14 image tiles from a single gastric biopsy slide; 20× magnification.
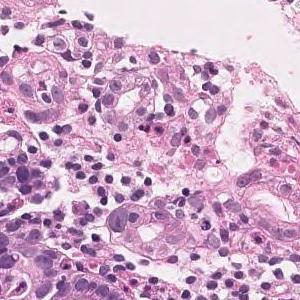
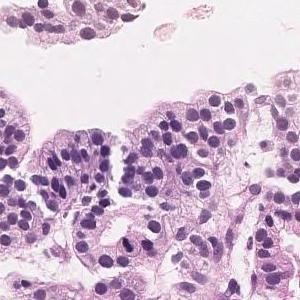
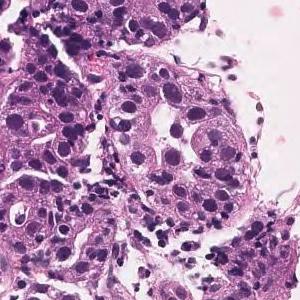
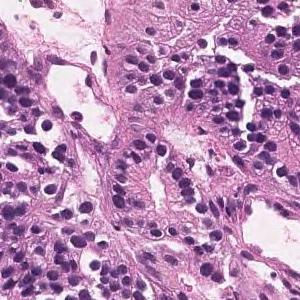
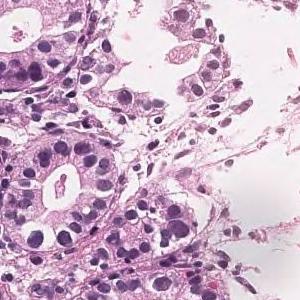
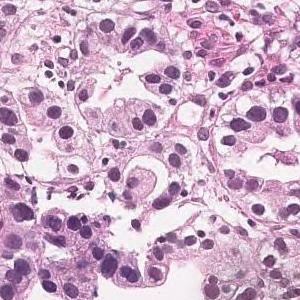
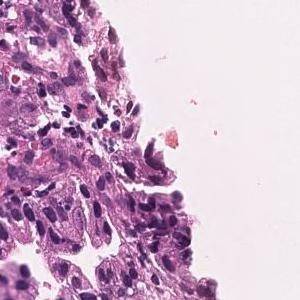
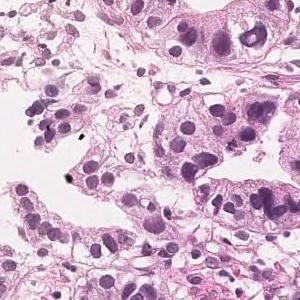
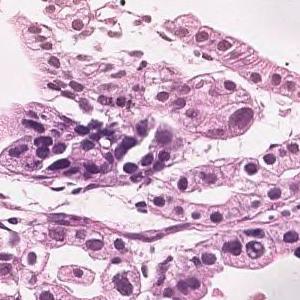
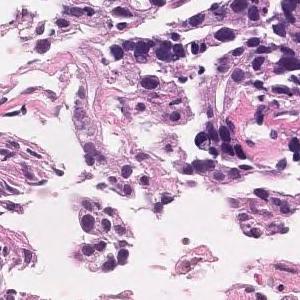
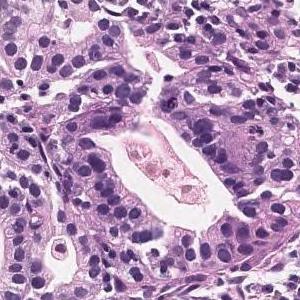
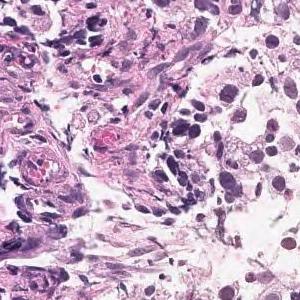
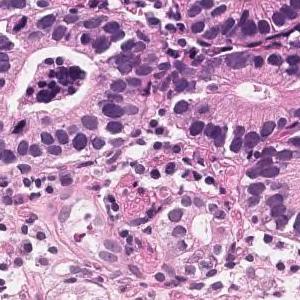
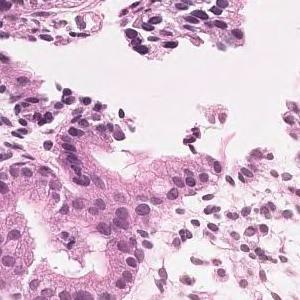
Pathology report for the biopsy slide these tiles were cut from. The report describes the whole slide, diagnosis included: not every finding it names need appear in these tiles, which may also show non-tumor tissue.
In the superficial epithelium, tumor tissue that invades by forming medium-sized to small, irregular ducts is observed. moderately differentiated tubular adenocarcinoma.
